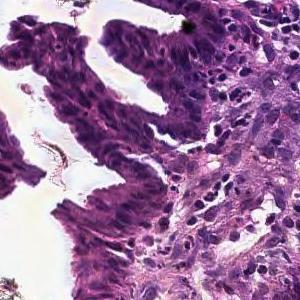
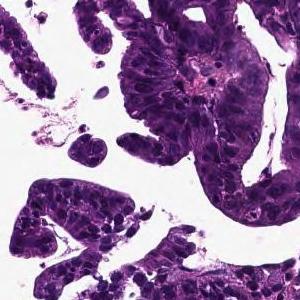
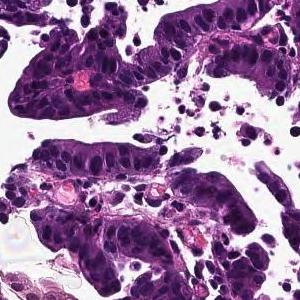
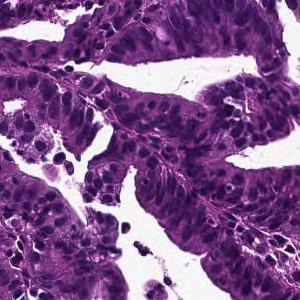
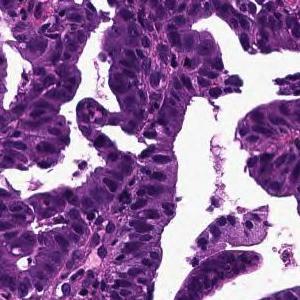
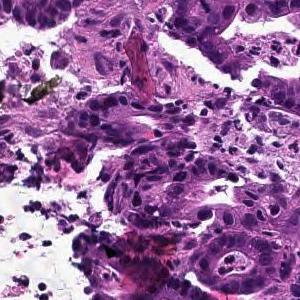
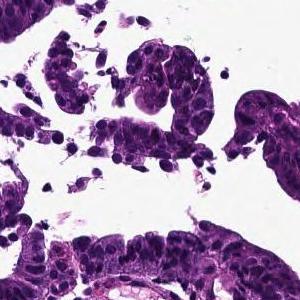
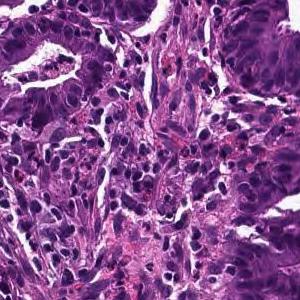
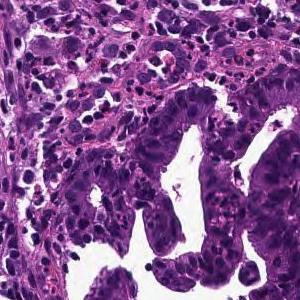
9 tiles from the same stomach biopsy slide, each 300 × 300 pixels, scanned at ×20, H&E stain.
The pathologist's report on the biopsy slide these tiles were taken from. The report and the diagnosis describe the slide as a whole, so these tiles may not show every feature named and may include non-tumor tissue.
Tumor cells are large, highly columnar, large club-shaped nuclei, and are associated with chromatin aggregation. Papillary adenocarcinoma.
